15 tiles from the same stomach biopsy slide.
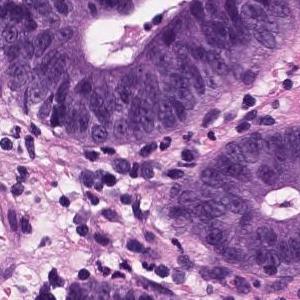
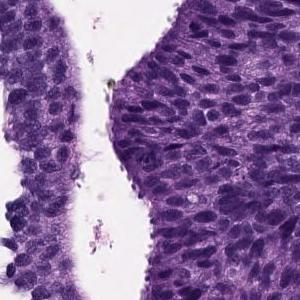
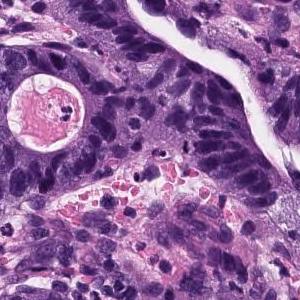
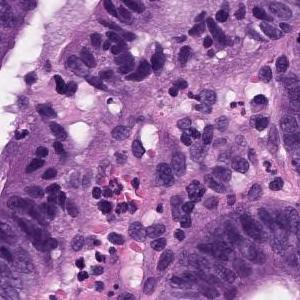
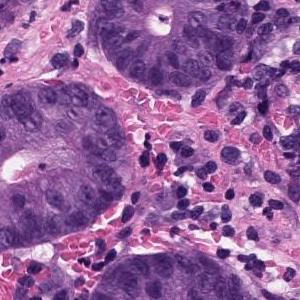
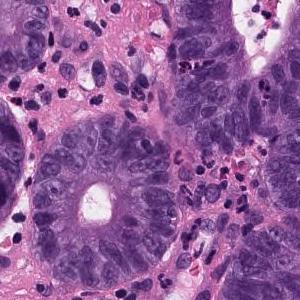
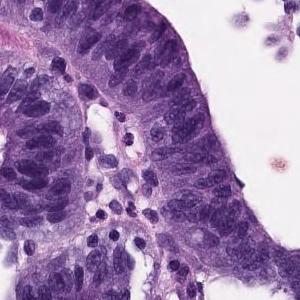
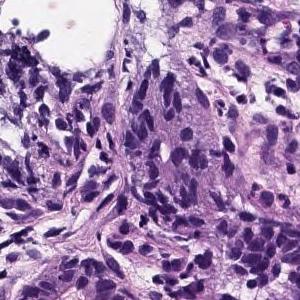
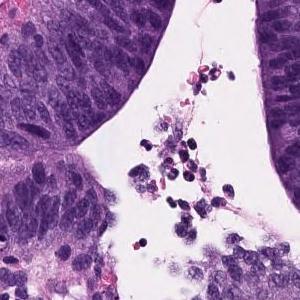
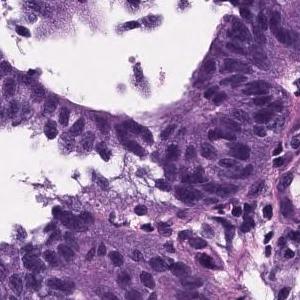
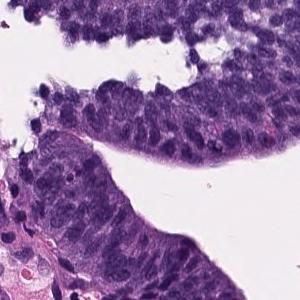
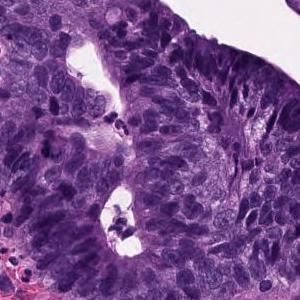
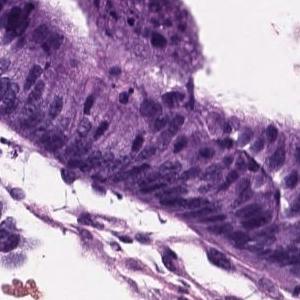
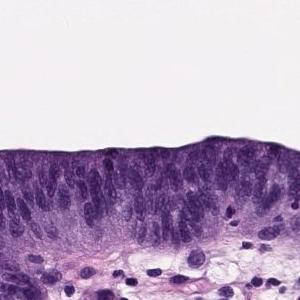
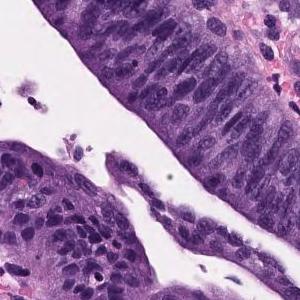
Report on the slide these tiles come from. The report describes the whole slide, diagnosis included: not every finding it names need appear in these tiles, which may also show non-tumor tissue.
Papillo-tubular growth of atypical tubules with nuclear swelling is observed. Well differentiated tubular adenocarcinoma
